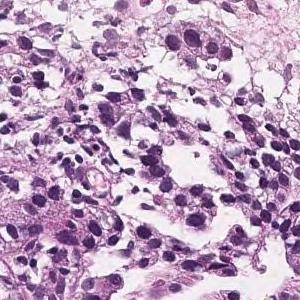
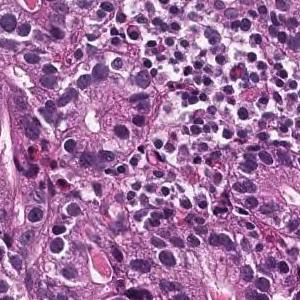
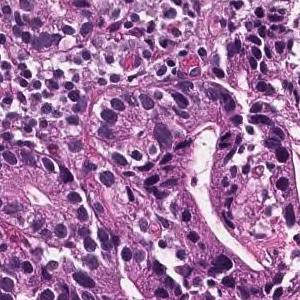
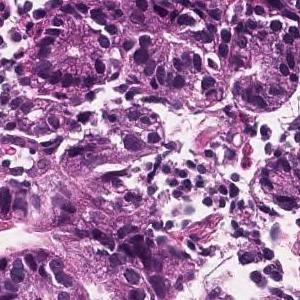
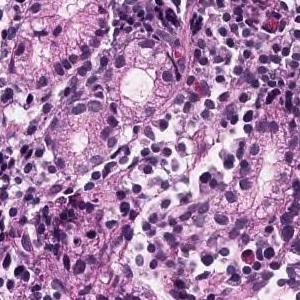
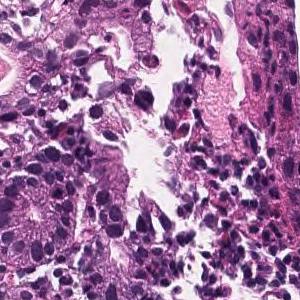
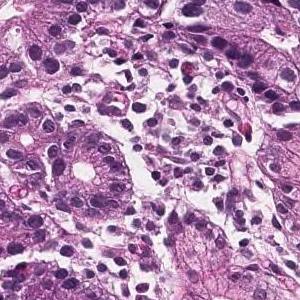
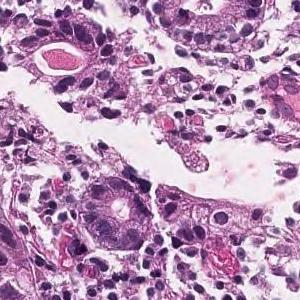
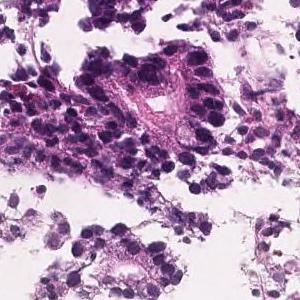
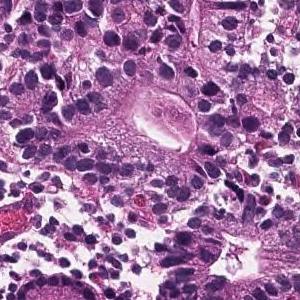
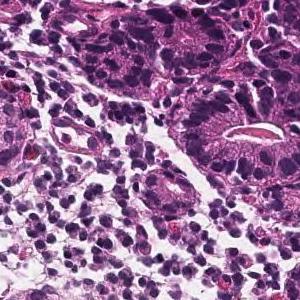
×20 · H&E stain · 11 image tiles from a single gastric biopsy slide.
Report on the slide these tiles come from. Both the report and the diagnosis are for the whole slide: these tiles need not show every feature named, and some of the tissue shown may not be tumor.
Tumor tissue that forms medium-sized, irregular glandular ducts and is papillary and proliferate is observed confined to the mucosal epithelium. moderately differentiated tubular adenocarcinoma.
